20× magnification; hematoxylin and eosin stain; 10 patches cut from one gastric biopsy slide.
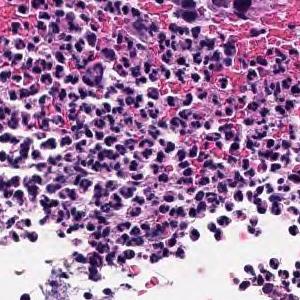
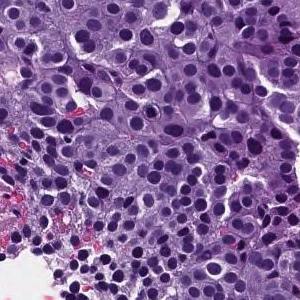
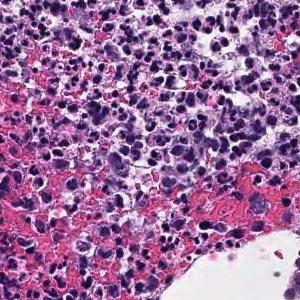
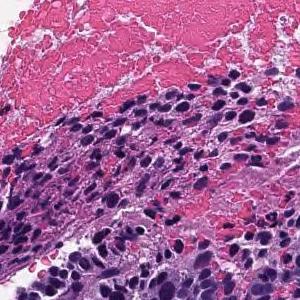
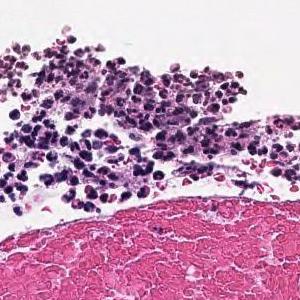
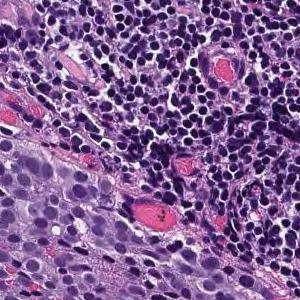
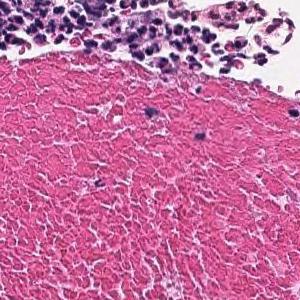
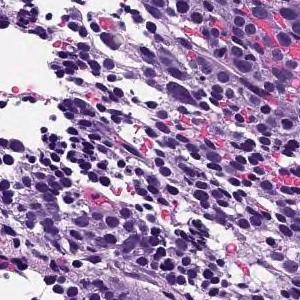
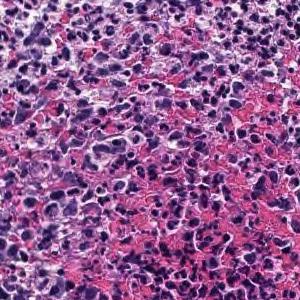
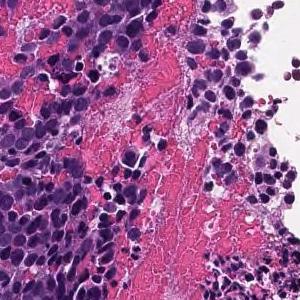
Pathology report for the slide these tiles were cut from. The report and the diagnosis describe the slide as a whole, so these tiles may not show every feature named and may include non-tumor tissue.
The superficial epithelium shows a large sheet-like shape, and some tumor tissue infiltrates with small irregular ducts. Poorly differentiated adenocarcinoma, solid-type
Subtype: Poorly differentiated adenocarcinoma, solid type, a category of the Japanese Classification of Gastric Carcinoma; in the WHO 2019 classification it is tubular adenocarcinoma, poorly differentiated.
